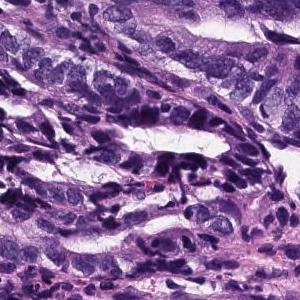
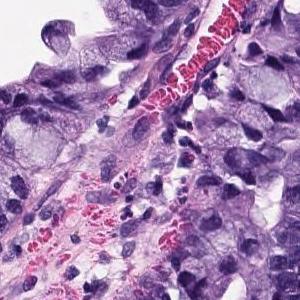
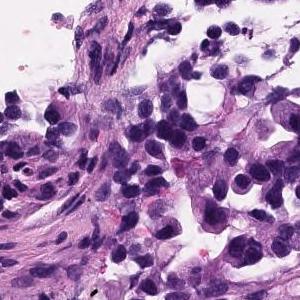
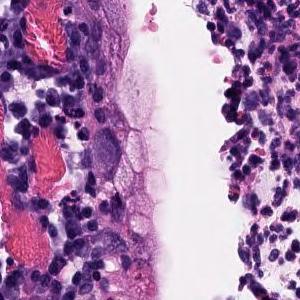
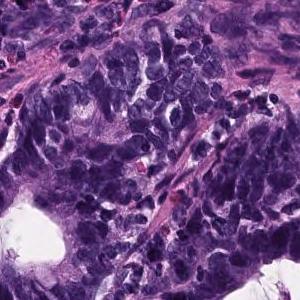
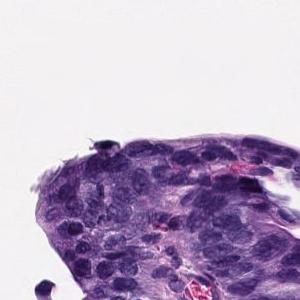
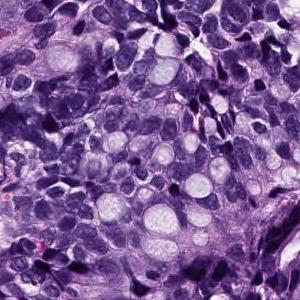
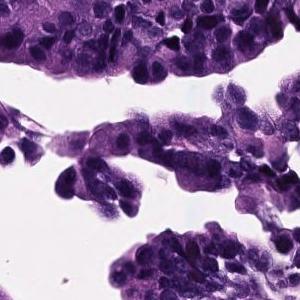
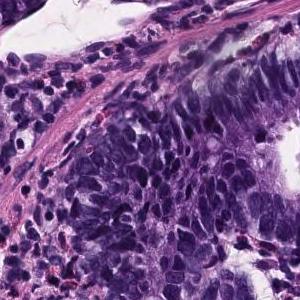
9 image tiles from a single gastric biopsy slide, 20× magnification.
The pathologist's report on the biopsy slide these tiles were taken from. What the report and the diagnosis say applies to the whole slide; these tiles may miss some of the features named and may include tissue that is not tumor.
Atypical epithelium proliferating showing villus construction and irregular gland duct construction is observed. Moderately differentiated tubular adenocarcinoma.
